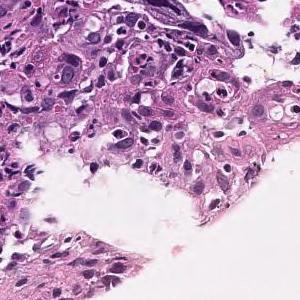
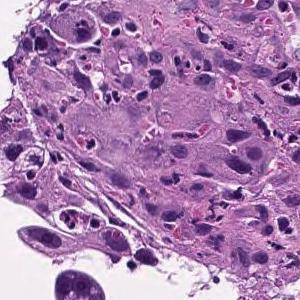
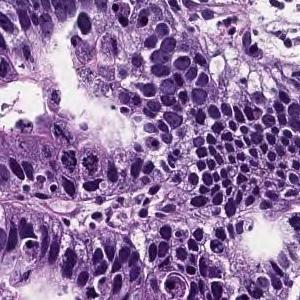
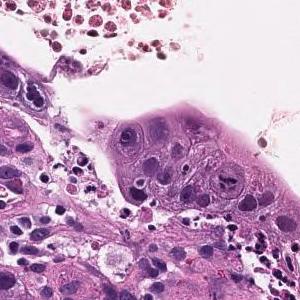
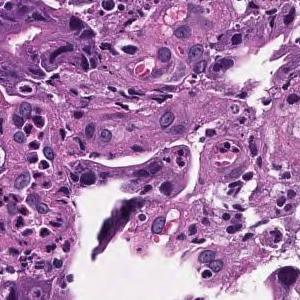
5 patches cut from one gastric biopsy slide, scanned at ×20, H&E stain.
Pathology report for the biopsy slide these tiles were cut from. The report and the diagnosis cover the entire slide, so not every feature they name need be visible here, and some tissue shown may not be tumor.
In the superficial epithelium, medium to small irregular gland ducts are formed, and in some cases, the ducts are fused to show solid alveolar lesions and infiltrating tumor tissue is observed. Moderately to poorly differentiated adenocarcinoma
